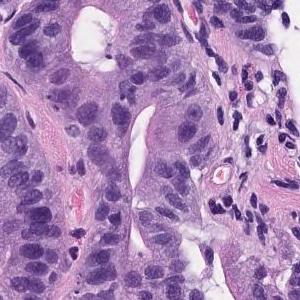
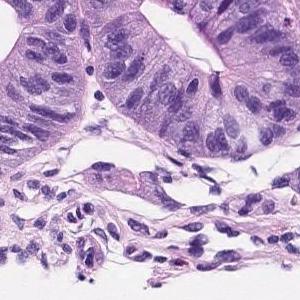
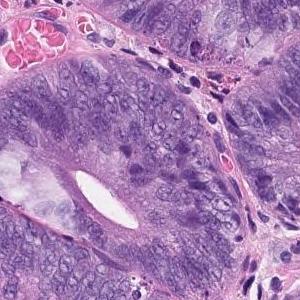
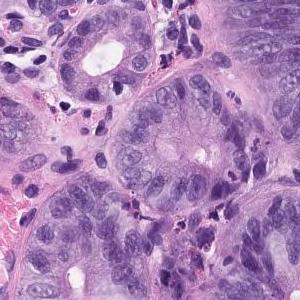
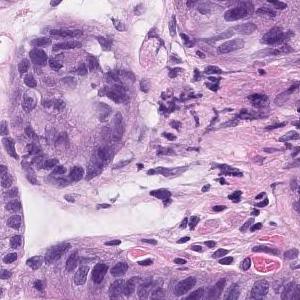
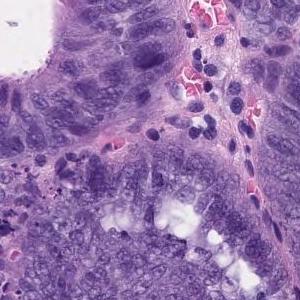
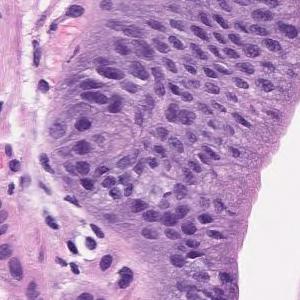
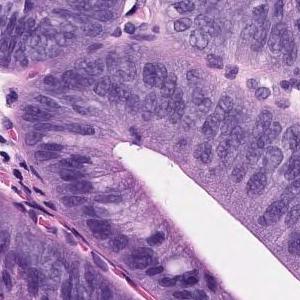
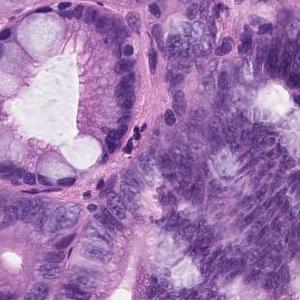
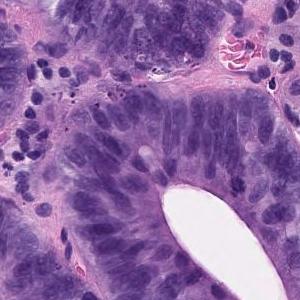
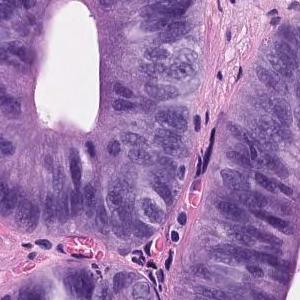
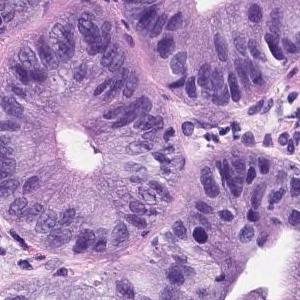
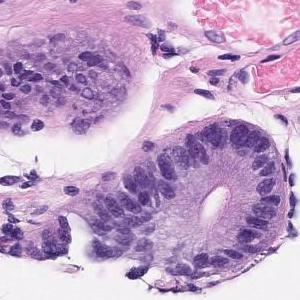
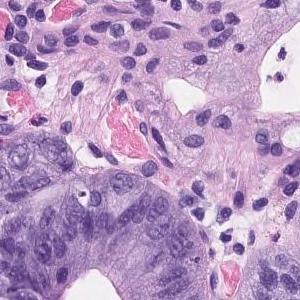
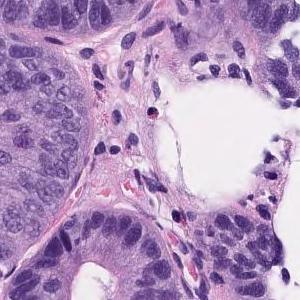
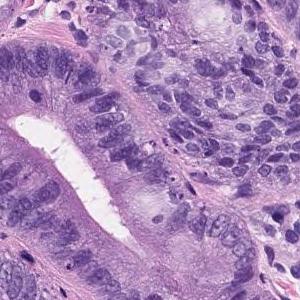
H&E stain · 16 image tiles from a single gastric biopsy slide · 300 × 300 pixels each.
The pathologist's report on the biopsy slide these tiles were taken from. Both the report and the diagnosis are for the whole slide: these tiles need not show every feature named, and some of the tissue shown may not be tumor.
On the superficial epithelium, tumor tissue consisting of images of atypical ducts of different sizes partially fused and densely proliferating is observed. Well differentiated tubular adenocarcinoma
